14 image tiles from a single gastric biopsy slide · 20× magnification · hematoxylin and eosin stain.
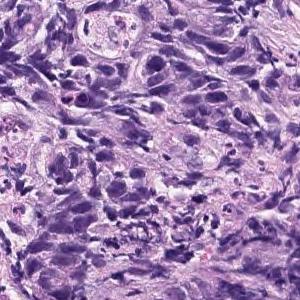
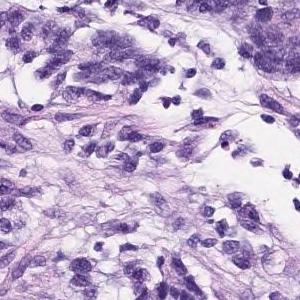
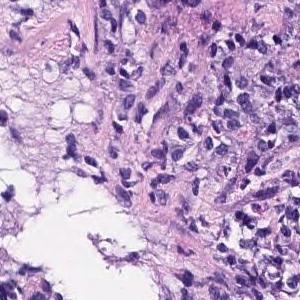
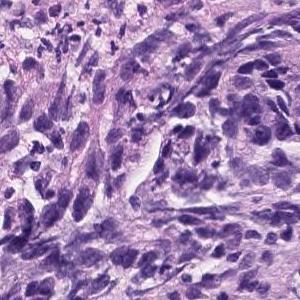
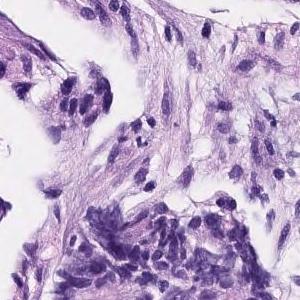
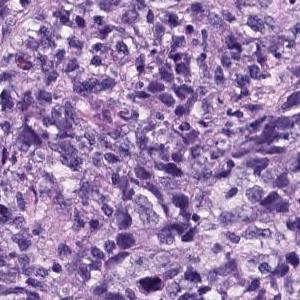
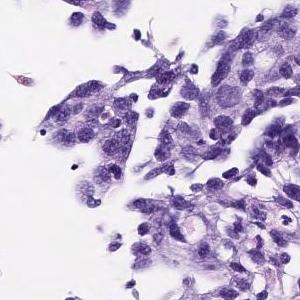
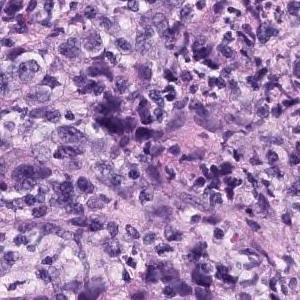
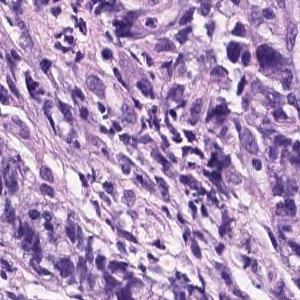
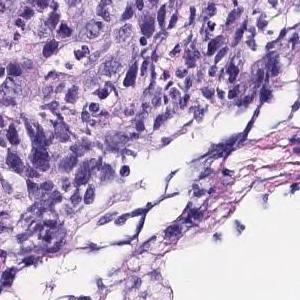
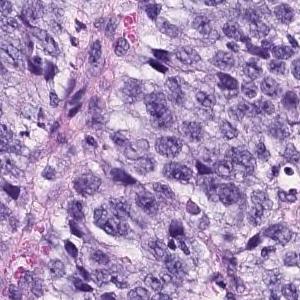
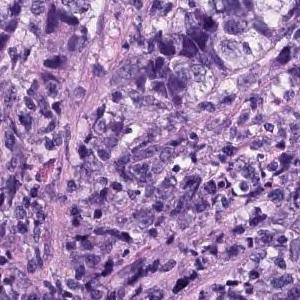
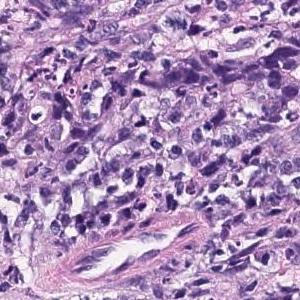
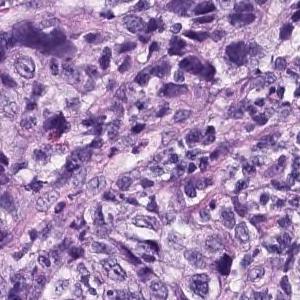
Pathology report for the biopsy slide these tiles were cut from. The findings and the diagnosis refer to the entire slide; these tiles show only part of it, possibly with non-tumor tissue, and may not show every feature named.
The superficial epithelium shows a large sheet-like shape, and some tumor tissue infiltrates with small irregular ducts. Poorly differentiated adenocarcinoma, solid-type
Tumor subtype: poorly differentiated adenocarcinoma, solid type (Japanese Classification of Gastric Carcinoma). The WHO 2019 equivalent is tubular adenocarcinoma, poorly differentiated.
